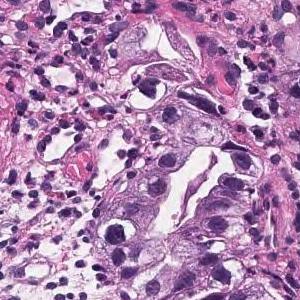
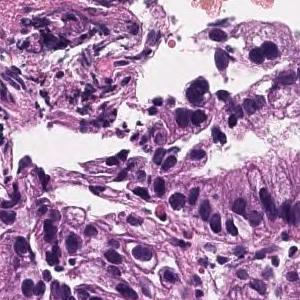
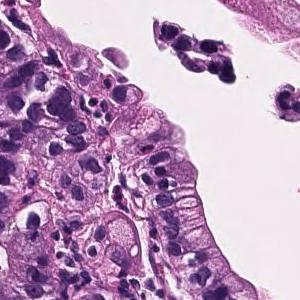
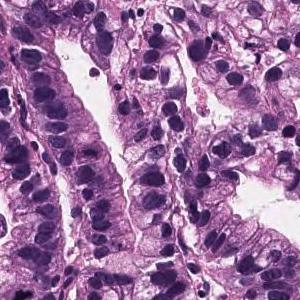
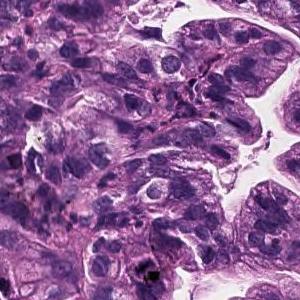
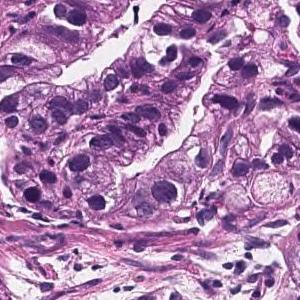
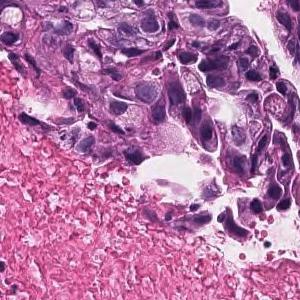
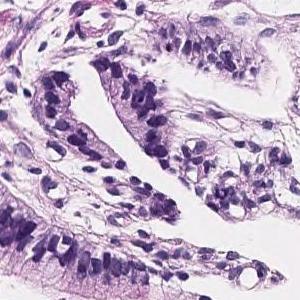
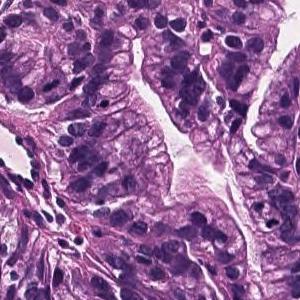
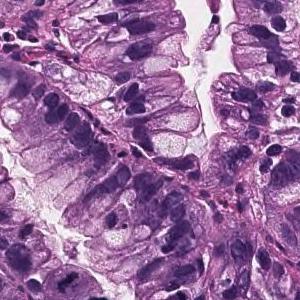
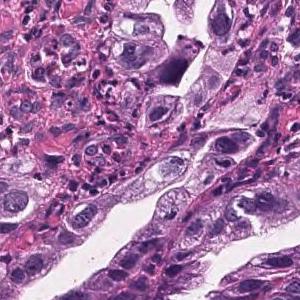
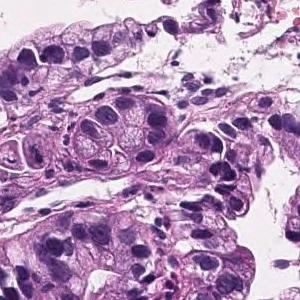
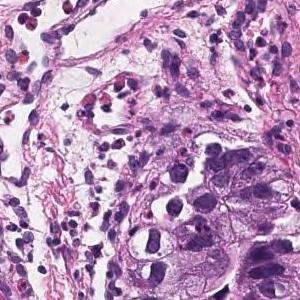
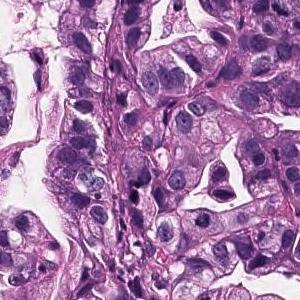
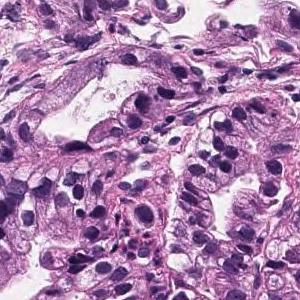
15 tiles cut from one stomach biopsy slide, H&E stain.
The pathologist's report on the biopsy slide these tiles were taken from. The report and the diagnosis describe the slide as a whole, so these tiles may not show every feature named and may include non-tumor tissue.
Tumor cells are large, highly columnar, large club-shaped nuclei, and are associated with chromatin aggregation. Papillary adenocarcinoma.
